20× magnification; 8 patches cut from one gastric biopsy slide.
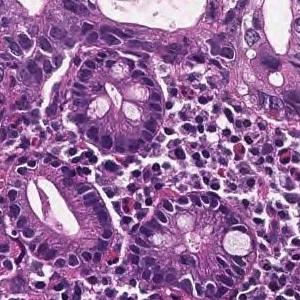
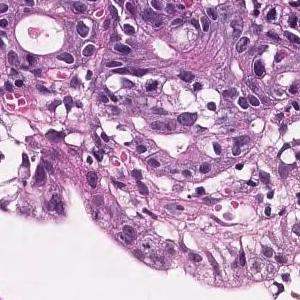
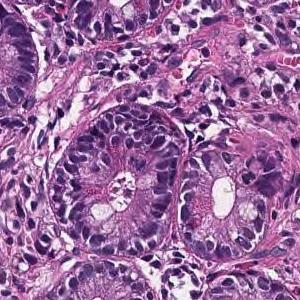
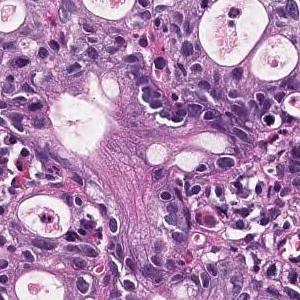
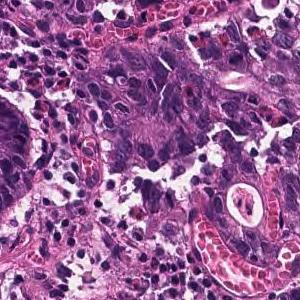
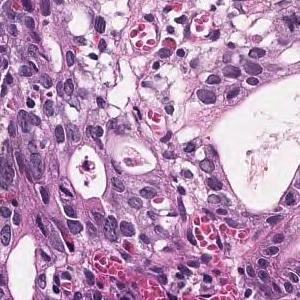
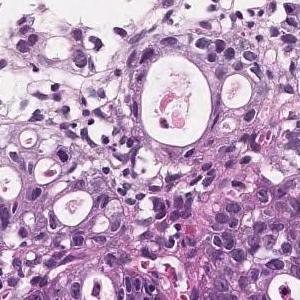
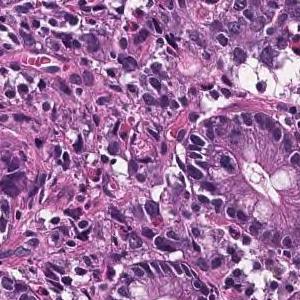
Report on the slide these tiles come from. The report and the diagnosis cover the entire slide, so not every feature they name need be visible here, and some tissue shown may not be tumor.
In the superficial epithelium, tumor tissue that invades by forming medium-sized to small, irregular ducts is observed. Moderately differentiated adenocarcinoma.
Classified as moderately differentiated tubular adenocarcinoma.
